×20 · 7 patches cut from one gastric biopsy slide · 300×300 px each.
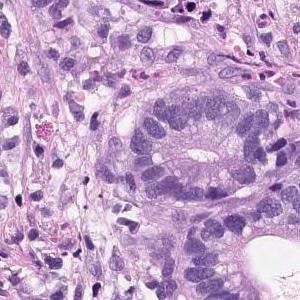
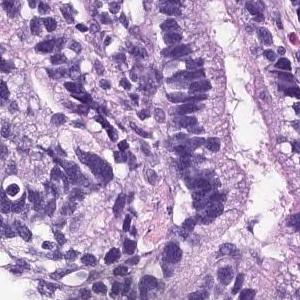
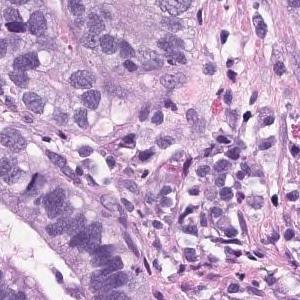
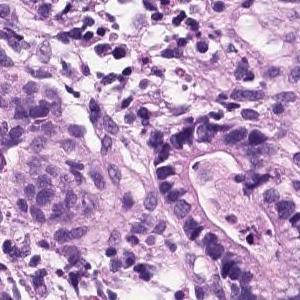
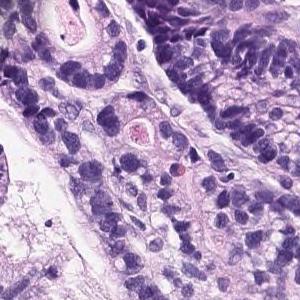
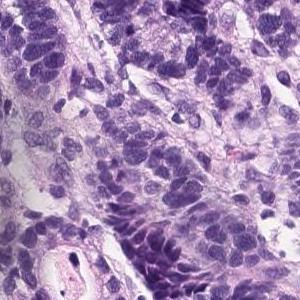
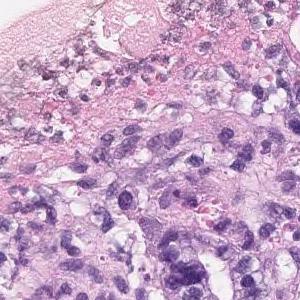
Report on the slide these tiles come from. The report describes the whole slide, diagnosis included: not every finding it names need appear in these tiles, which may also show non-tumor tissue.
Hyperplasia of atypical epithelial cells with swelling of the nucleus is observed. Moderately diffentiated tubular adenocarcinoma
Histological subtype: Moderately differentiated tubular adenocarcinoma.
